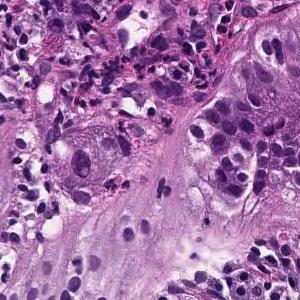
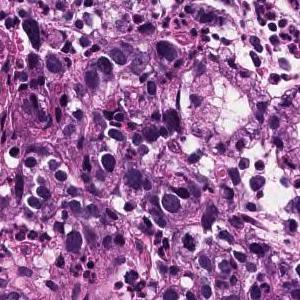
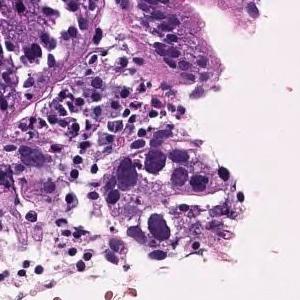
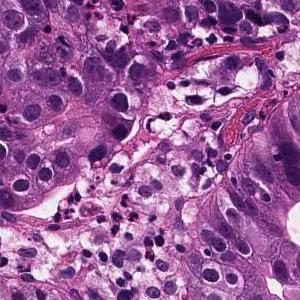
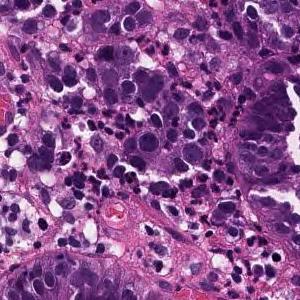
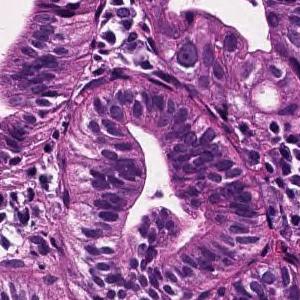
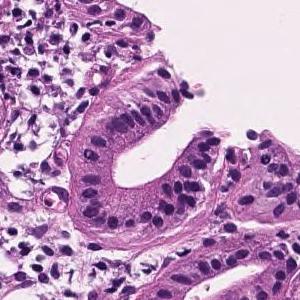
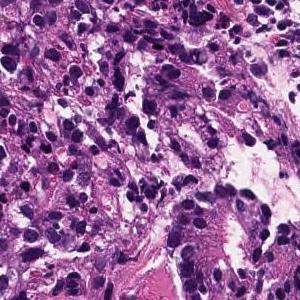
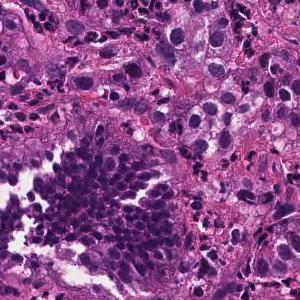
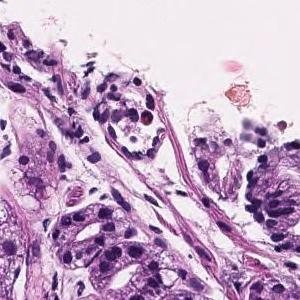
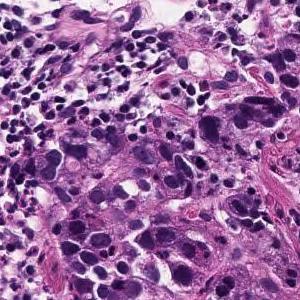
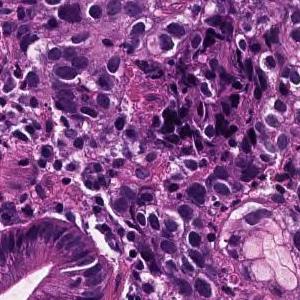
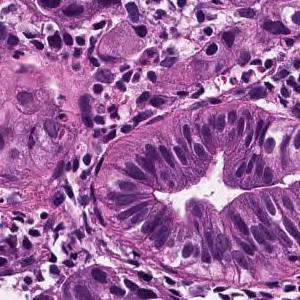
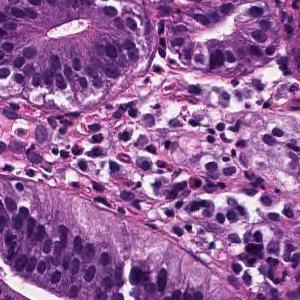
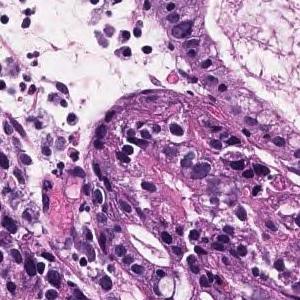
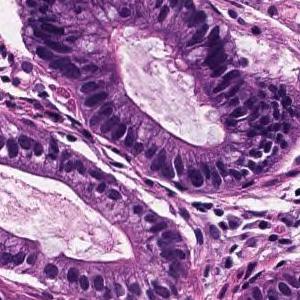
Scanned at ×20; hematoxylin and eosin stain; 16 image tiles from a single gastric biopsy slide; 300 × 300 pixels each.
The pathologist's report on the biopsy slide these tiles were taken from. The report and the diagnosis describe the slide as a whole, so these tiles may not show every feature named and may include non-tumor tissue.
In the superficial epithelium, tumor tissue that invades by forming medium-sized to small, irregular ducts is observed. moderately differentiated tubular adenocarcinoma.
